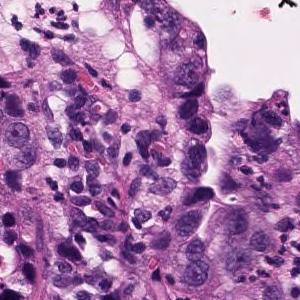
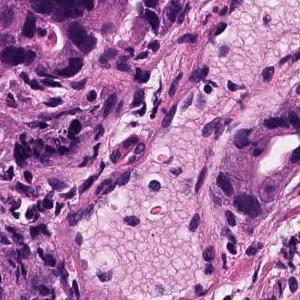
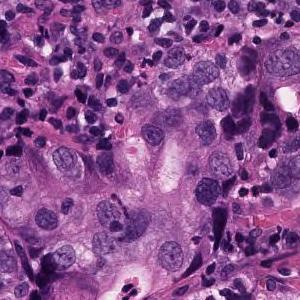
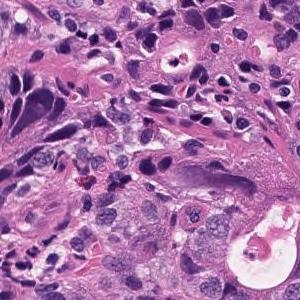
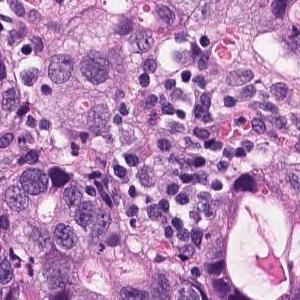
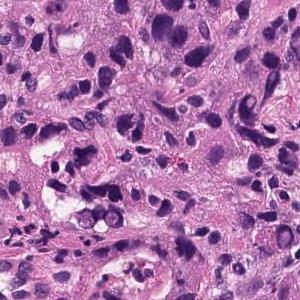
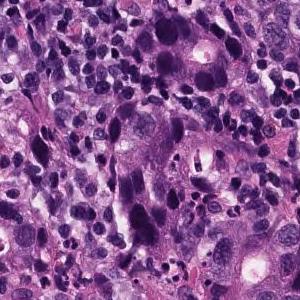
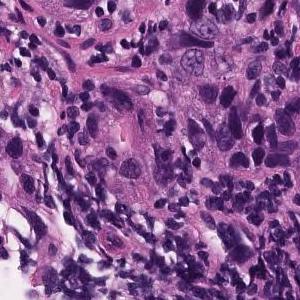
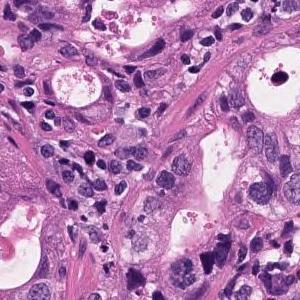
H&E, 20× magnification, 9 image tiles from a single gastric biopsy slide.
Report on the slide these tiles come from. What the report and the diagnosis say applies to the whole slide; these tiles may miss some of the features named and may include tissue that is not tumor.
In the superficial epithelium, tumor tissue that invades by forming medium-sized to small, irregular ducts is observed. Moderately differentiated adenocarcinoma.
Classified as moderately differentiated tubular adenocarcinoma.
